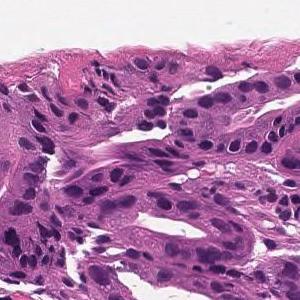
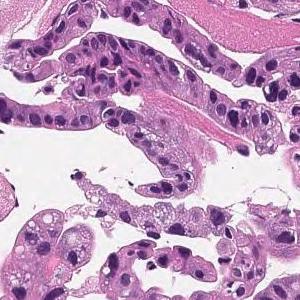
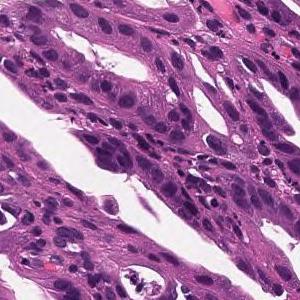
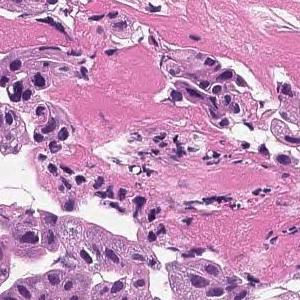
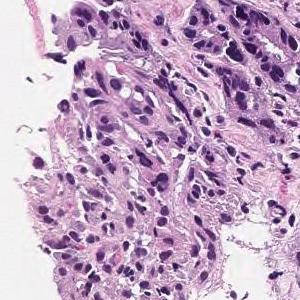
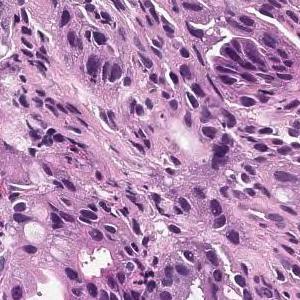
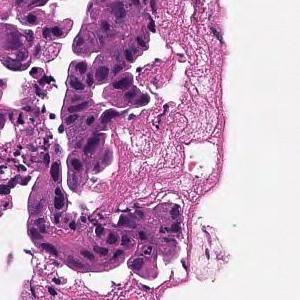
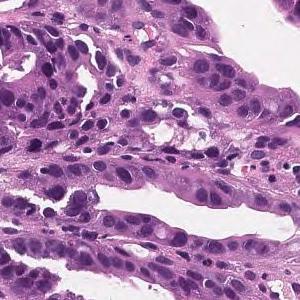
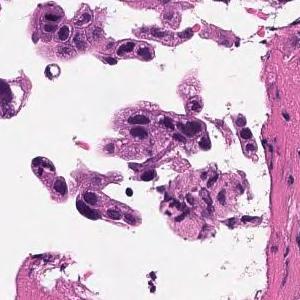
Hematoxylin and eosin stain · 9 image tiles from a single gastric biopsy slide.
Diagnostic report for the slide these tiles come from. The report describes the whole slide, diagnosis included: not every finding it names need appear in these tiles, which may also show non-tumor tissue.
From the superficial epithelium to the muscularis mucosae, tumor tissue consisting of medium-sized and irregular glandular ducts infiltrating is observed. Well differentiated tubular adenocarcinoma
